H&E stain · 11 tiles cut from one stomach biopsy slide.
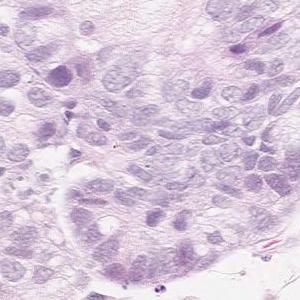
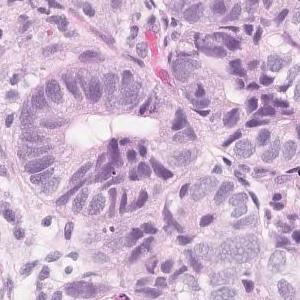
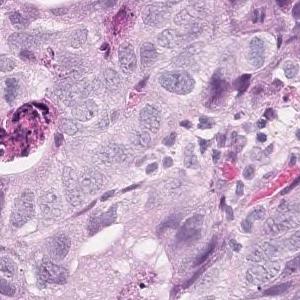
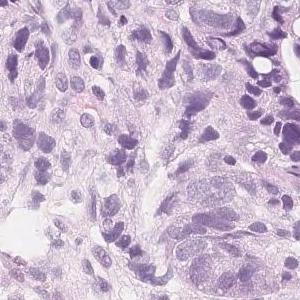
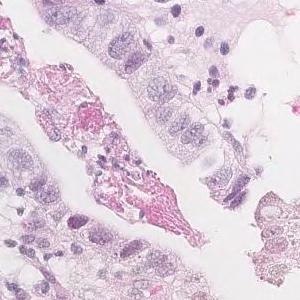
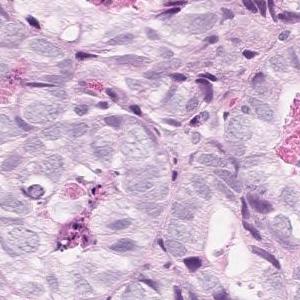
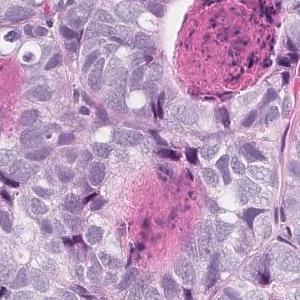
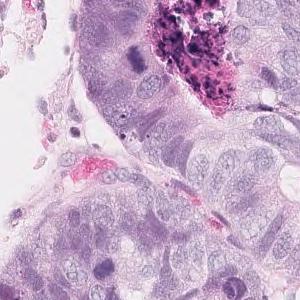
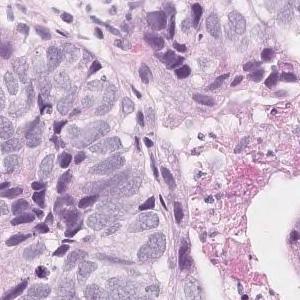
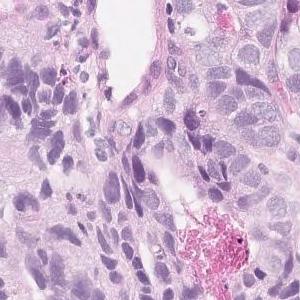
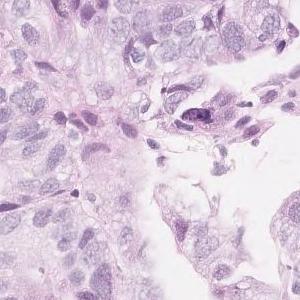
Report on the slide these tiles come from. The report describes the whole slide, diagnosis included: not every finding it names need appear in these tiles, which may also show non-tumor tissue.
In the superficial epithelium, tumor tissue that invades by forming medium-sized to small, irregular ducts is observed. Moderately differentiated adenocarcinoma.
Histologic type: Moderately differentiated tubular adenocarcinoma.
